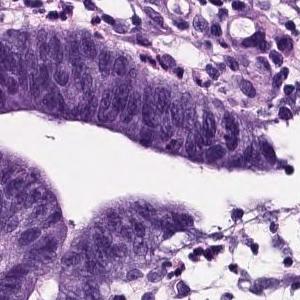
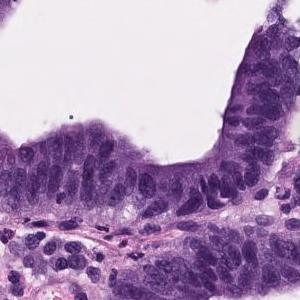
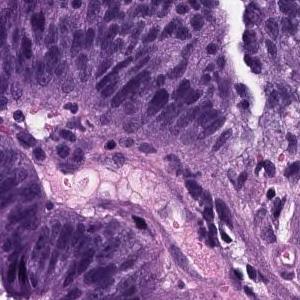
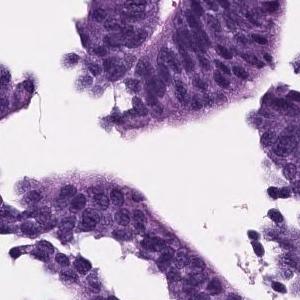
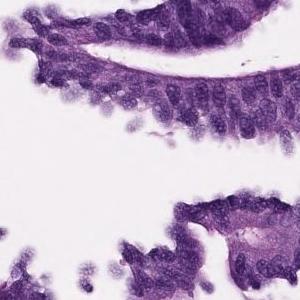
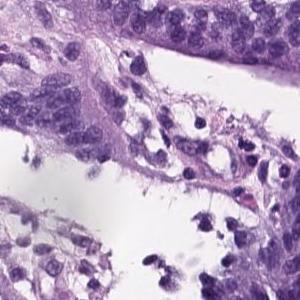
6 tiles from the same stomach biopsy slide; 300 × 300 pixels each; ×20.
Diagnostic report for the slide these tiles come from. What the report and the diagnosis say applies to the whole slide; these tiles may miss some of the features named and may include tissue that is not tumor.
Papillo-tubular growth of atypical tubules with nuclear swelling is observed. Well differentiated tubular adenocarcinoma
